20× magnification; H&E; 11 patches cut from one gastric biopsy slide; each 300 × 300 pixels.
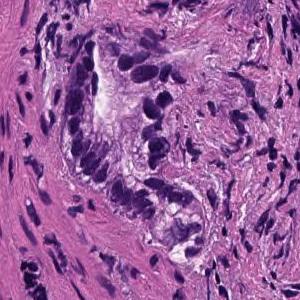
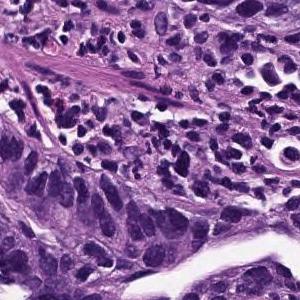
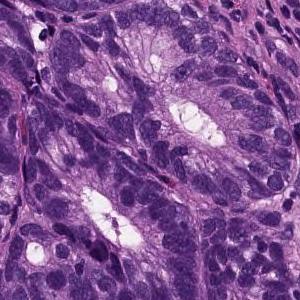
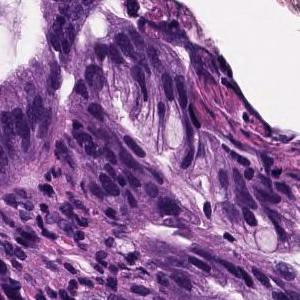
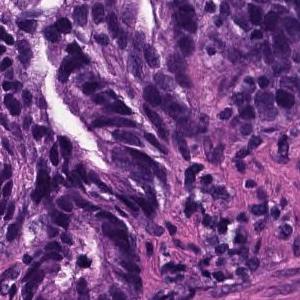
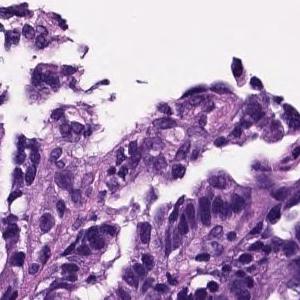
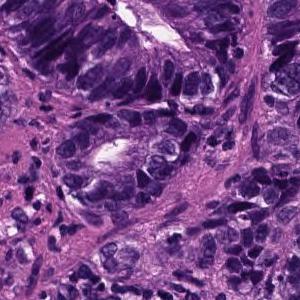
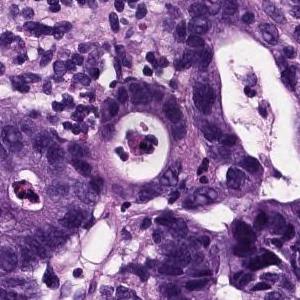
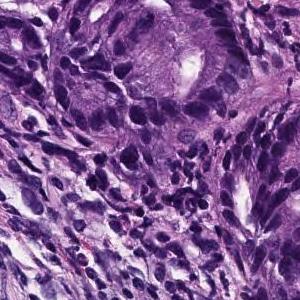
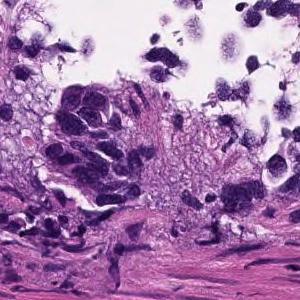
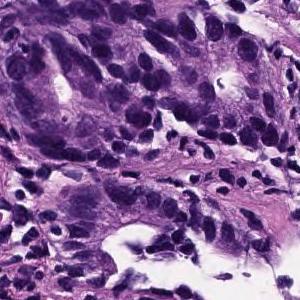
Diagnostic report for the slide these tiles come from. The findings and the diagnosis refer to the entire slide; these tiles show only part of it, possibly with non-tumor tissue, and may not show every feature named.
In the superficial epithelium, tumor tissue that invades by forming medium-sized to small, irregular ducts is observed. Moderately differentiated adenocarcinoma.
Classified as moderately differentiated tubular adenocarcinoma.
